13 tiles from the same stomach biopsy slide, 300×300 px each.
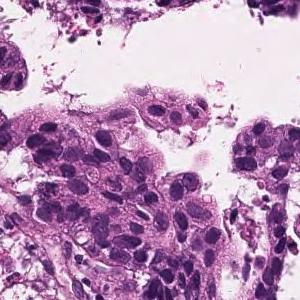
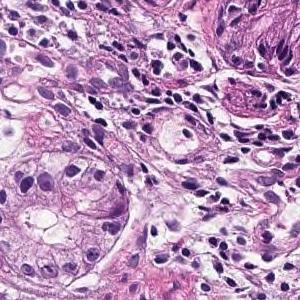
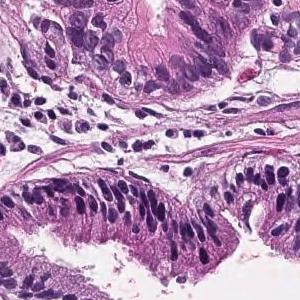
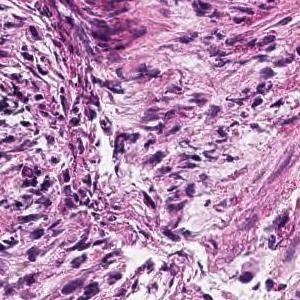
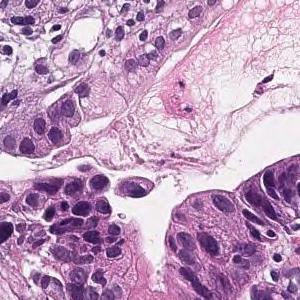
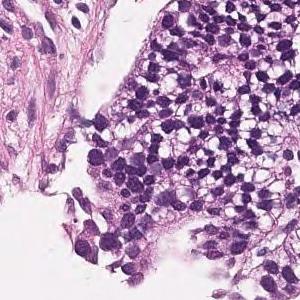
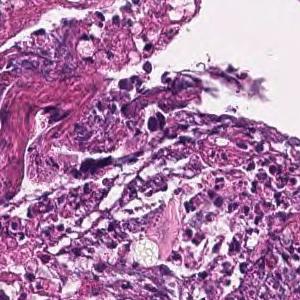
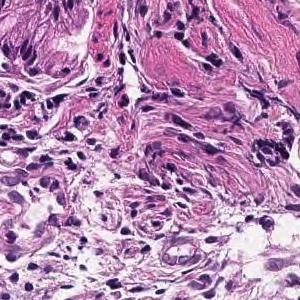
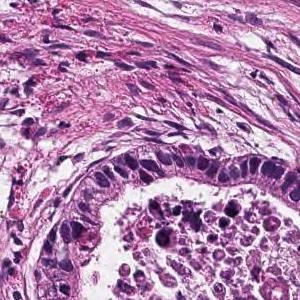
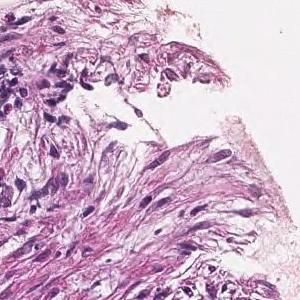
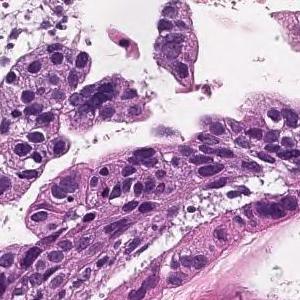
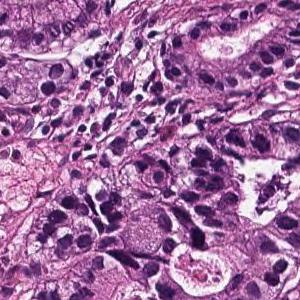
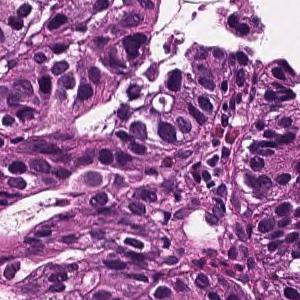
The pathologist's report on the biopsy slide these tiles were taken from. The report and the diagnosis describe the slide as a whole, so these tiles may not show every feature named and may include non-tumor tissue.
On the superficial epithelium, tumor tissue consisting of large, irregular glandular ducts partially fused and infiltrated is observed. Well to moderately differentiated tubular adenocarcinoma (well differentiated tubular adenocarcinoma, moderately differentiated tubular adenocarcinoma)
Subtype: Well to moderately differentiated tubular adenocarcinoma.
